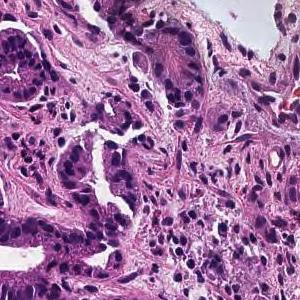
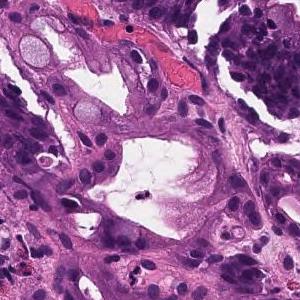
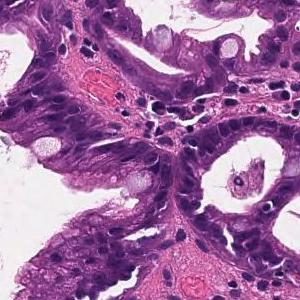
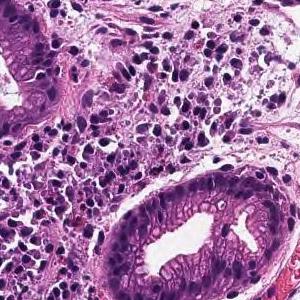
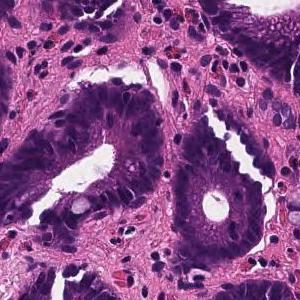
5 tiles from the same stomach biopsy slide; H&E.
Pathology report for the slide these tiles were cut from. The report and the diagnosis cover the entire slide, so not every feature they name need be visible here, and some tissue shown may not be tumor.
From the superficial epithelium to the muscularis mucosae, tumor tissue consisting of medium-sized and irregular glandular ducts infiltrating is observed. Well differentiated tubular adenocarcinoma
